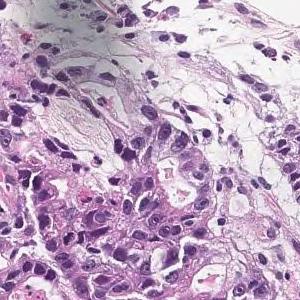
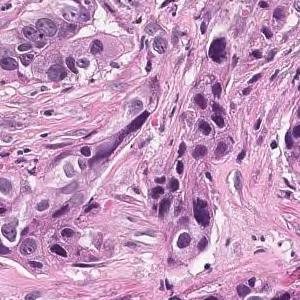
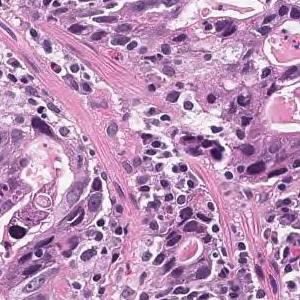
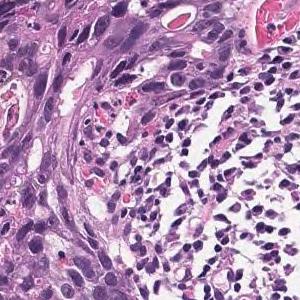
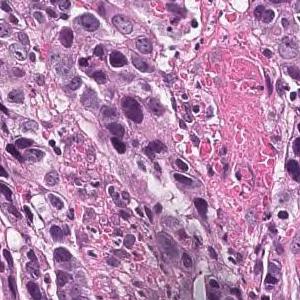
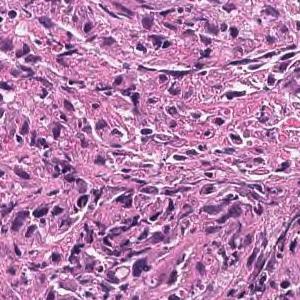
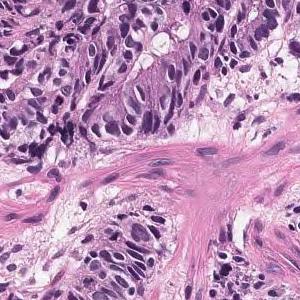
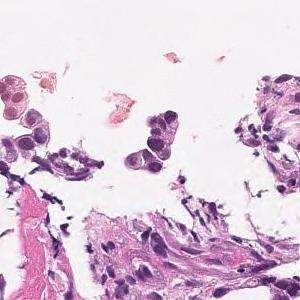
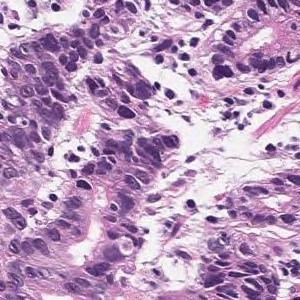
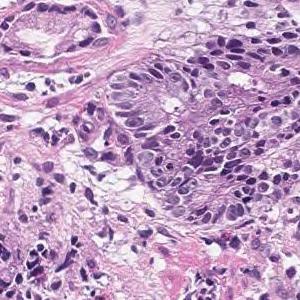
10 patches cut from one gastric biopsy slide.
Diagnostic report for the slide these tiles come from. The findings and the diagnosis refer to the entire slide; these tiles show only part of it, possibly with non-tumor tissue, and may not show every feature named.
Tumor cells are large, highly columnar, large club-shaped nuclei, and are associated with chromatin aggregation. Papillary adenocarcinoma.
